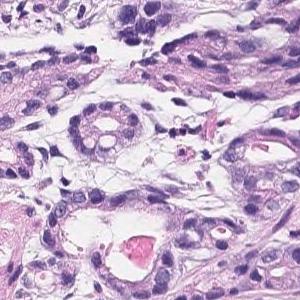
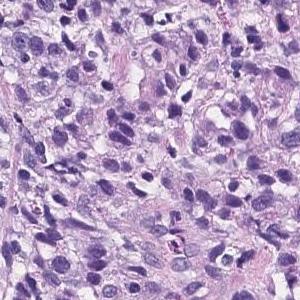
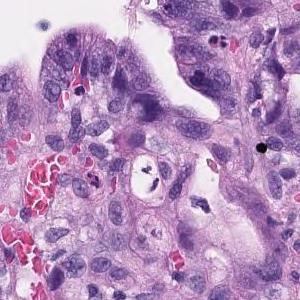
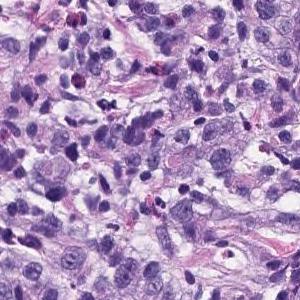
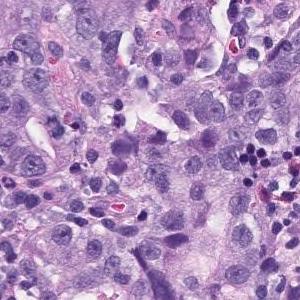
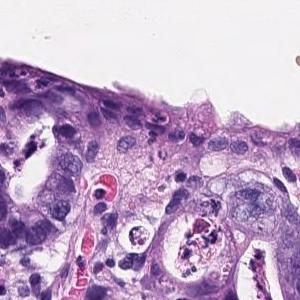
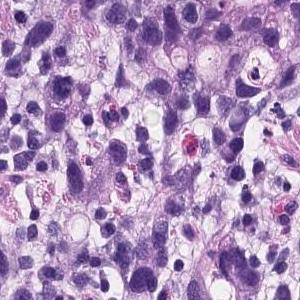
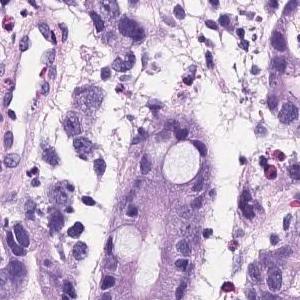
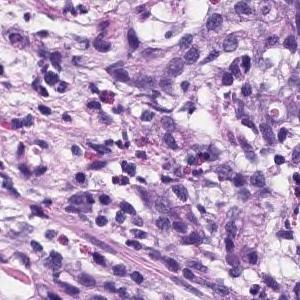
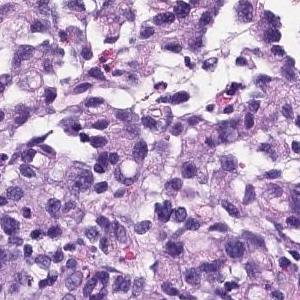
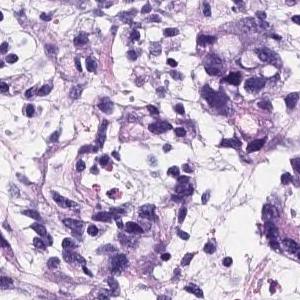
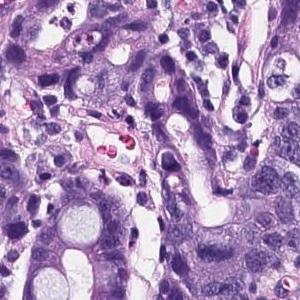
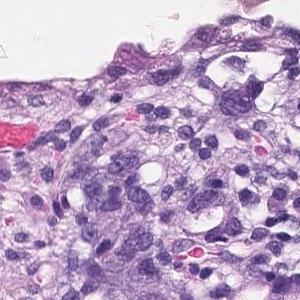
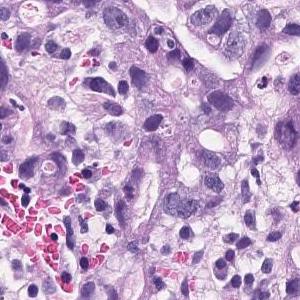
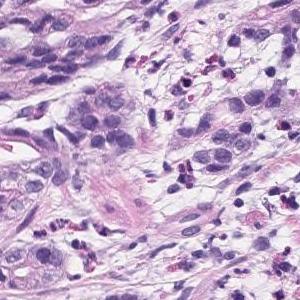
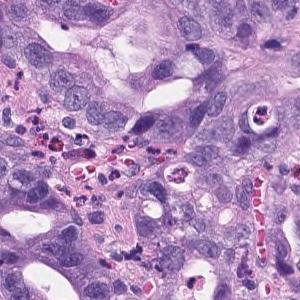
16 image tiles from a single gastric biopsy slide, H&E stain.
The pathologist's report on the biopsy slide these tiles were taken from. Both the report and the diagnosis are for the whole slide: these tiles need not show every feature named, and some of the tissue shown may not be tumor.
There are atypical l cells with atypical nuclei forming cord-like or irregular atypical ducts from solidity and proliferating in a comprehensive manner. Poorly differentiated adenocarcinoma, Moderately differentiated adenocarcinoma (poorly differentiated adenocarcinoma, solid type moderately differentiated tubular adenocarcinoma)
Classified as moderately to poorly differentiated adenocarcinoma.
"Solid type" is a category of the Japanese Classification of Gastric Carcinoma; in the WHO 2019 classification it is tubular adenocarcinoma, poorly differentiated.
